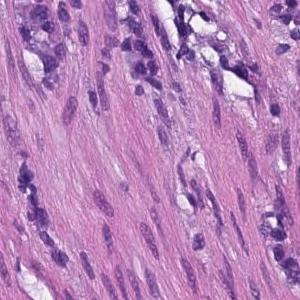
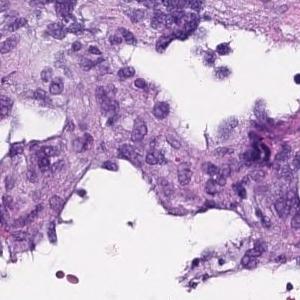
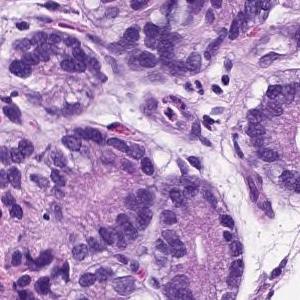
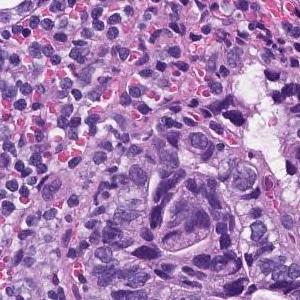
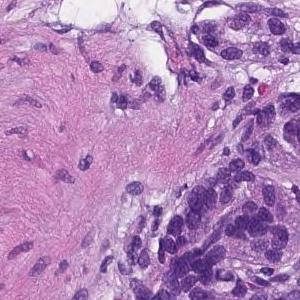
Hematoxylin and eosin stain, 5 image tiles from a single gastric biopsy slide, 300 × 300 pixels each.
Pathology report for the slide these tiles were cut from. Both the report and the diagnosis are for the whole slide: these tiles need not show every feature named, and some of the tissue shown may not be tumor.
From the superficial epithelium to the muscularis mucosae, tumor tissue consisting of medium-sized and irregular glandular ducts infiltrating is observed. Well differentiated tubular adenocarcinoma
